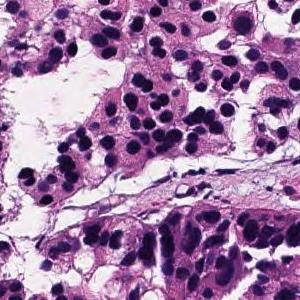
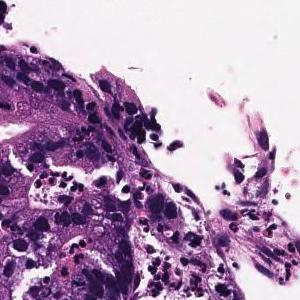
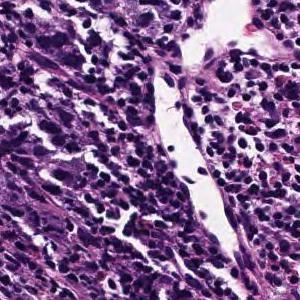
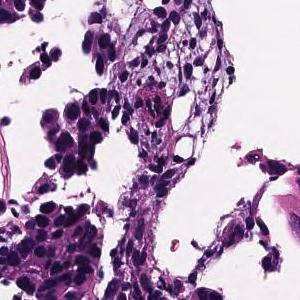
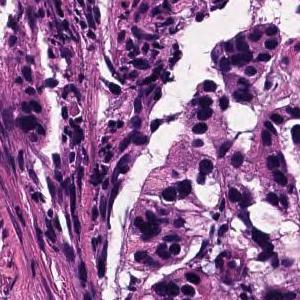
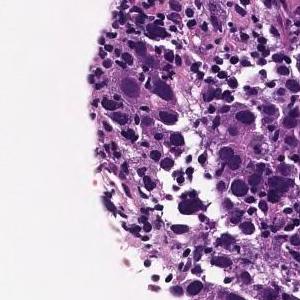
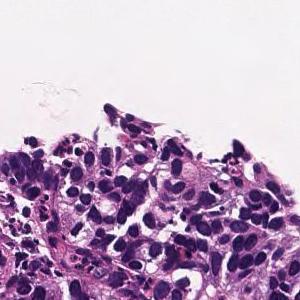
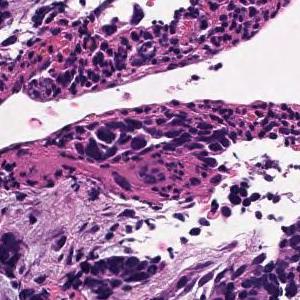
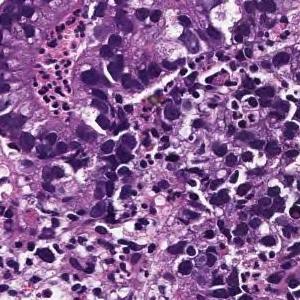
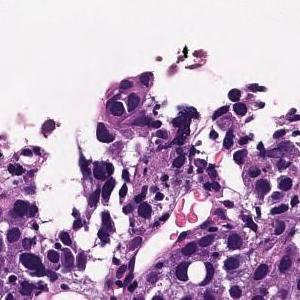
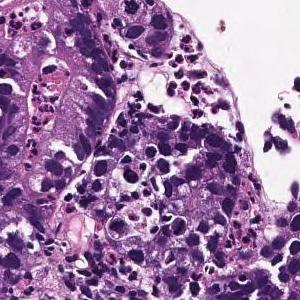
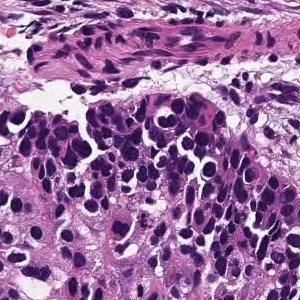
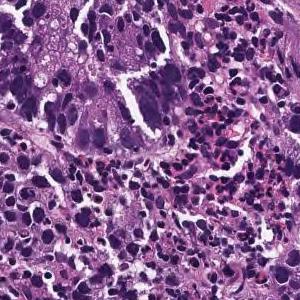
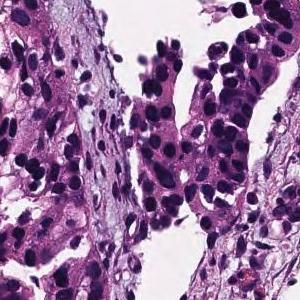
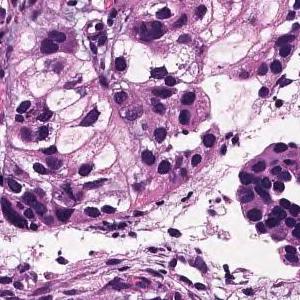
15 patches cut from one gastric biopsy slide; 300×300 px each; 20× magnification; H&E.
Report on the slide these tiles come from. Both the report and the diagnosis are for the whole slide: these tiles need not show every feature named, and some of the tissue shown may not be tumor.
Medium to small, irregular glandular ducts are formed in the superficial epithelium, and in some cases, the glandular ducts are fused to show solid alveolar lesions and infiltrating tumor tissue is observed. Moderately to poorly differentiated adenocarcinoma.
